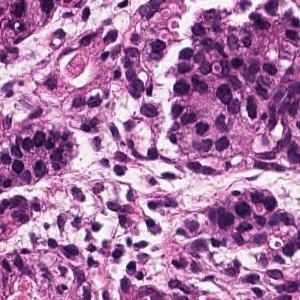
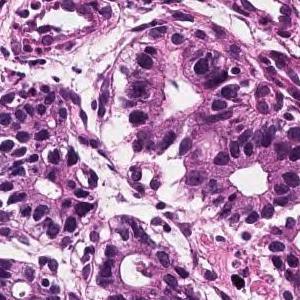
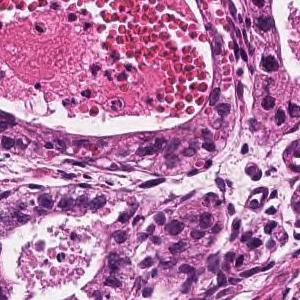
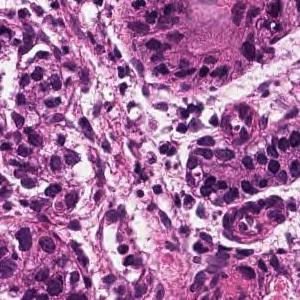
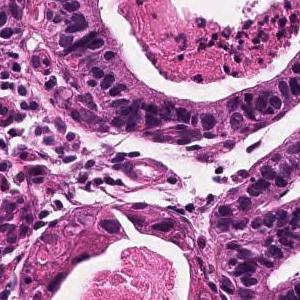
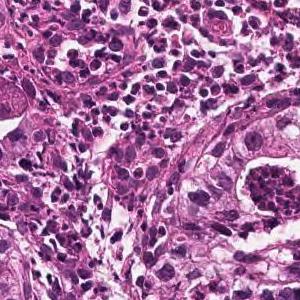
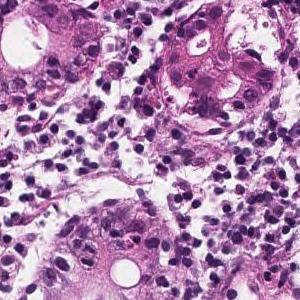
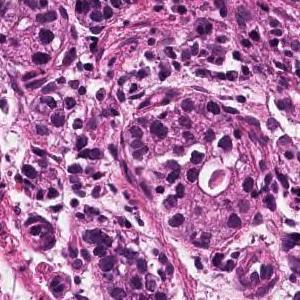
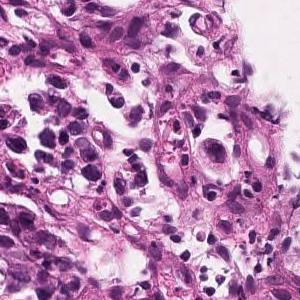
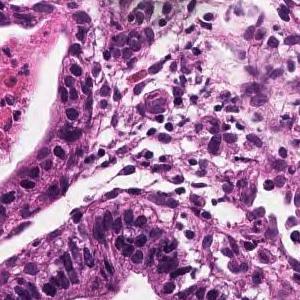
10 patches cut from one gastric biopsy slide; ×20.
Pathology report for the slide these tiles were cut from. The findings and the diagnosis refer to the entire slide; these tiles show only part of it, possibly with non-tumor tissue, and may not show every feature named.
Tumor tissue consisting of medium-sized and irregular ducts is observed infiltrating in the superficial epithelium. Tumor cells are highly columnar, with nuclei aligned basolaterally and polarized. Well differentiated tubular adenocarcinoma.
